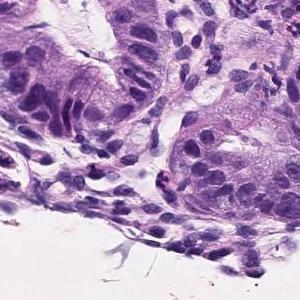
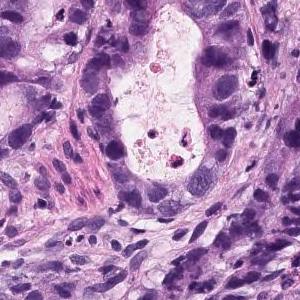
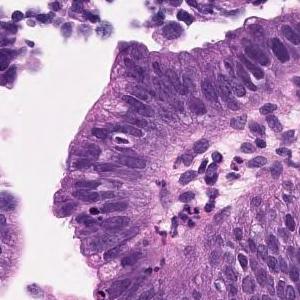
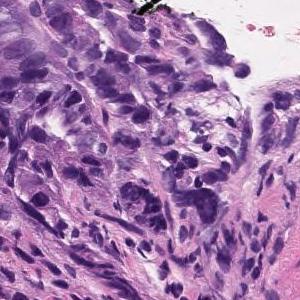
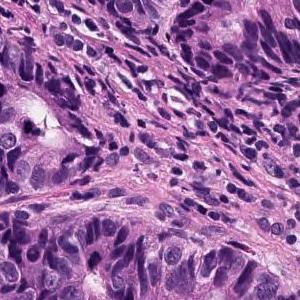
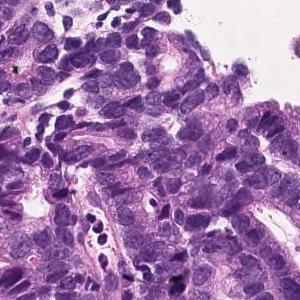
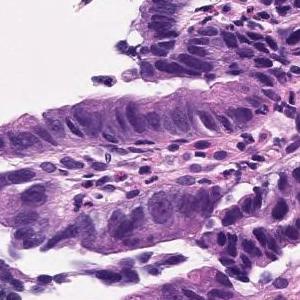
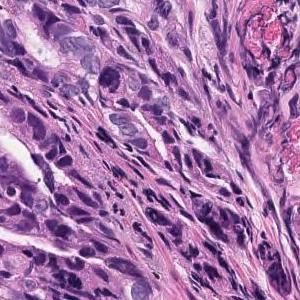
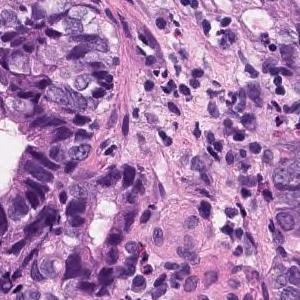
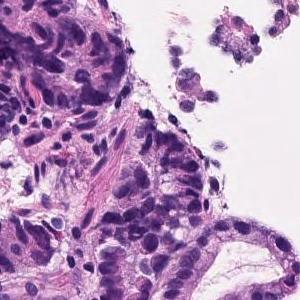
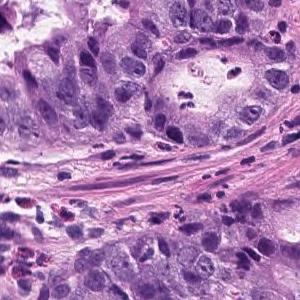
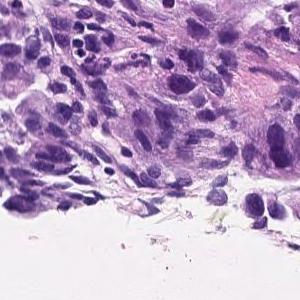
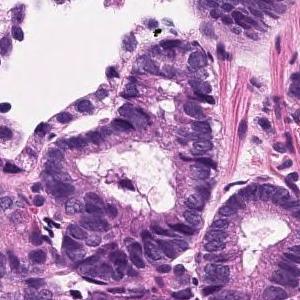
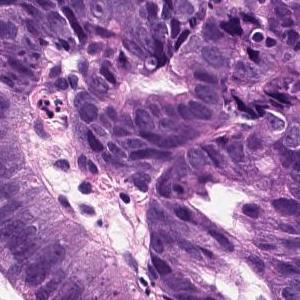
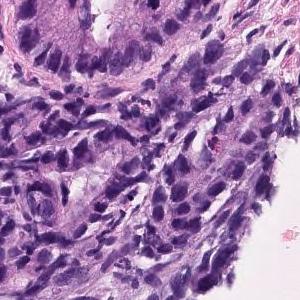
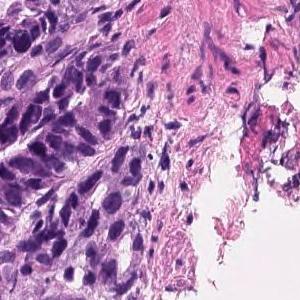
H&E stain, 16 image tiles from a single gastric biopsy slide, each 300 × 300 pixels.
Diagnostic report for the slide these tiles come from. Both the report and the diagnosis are for the whole slide: these tiles need not show every feature named, and some of the tissue shown may not be tumor.
The swollen atypical epithelium of the nucleus forms an irregular ductal structure and proliferates. moderately differentiated tubular adenocarcinoma
